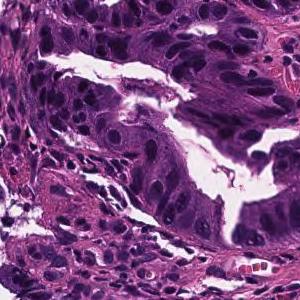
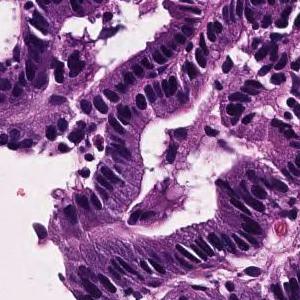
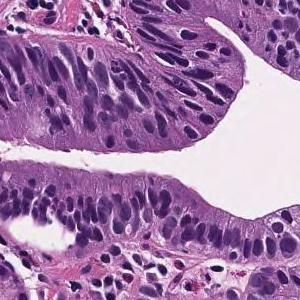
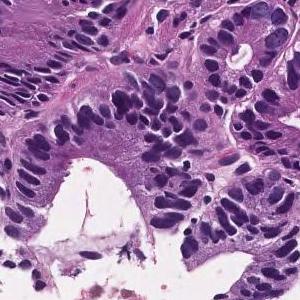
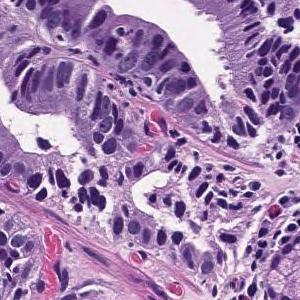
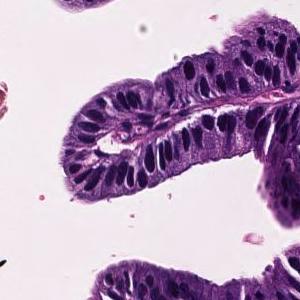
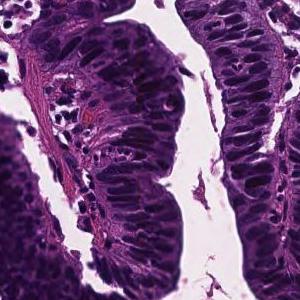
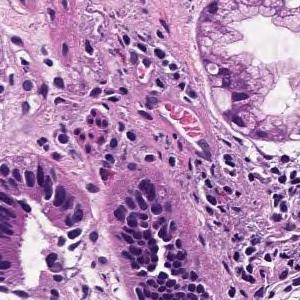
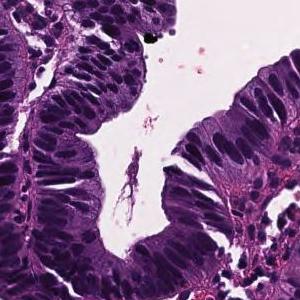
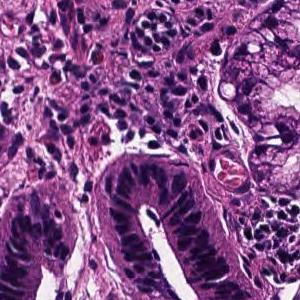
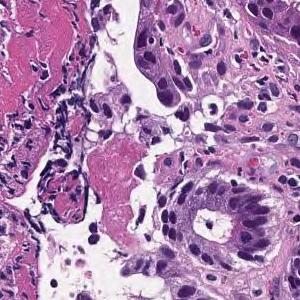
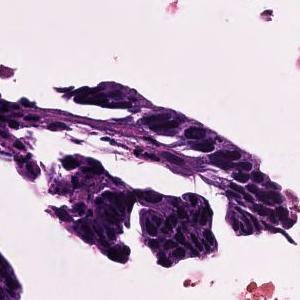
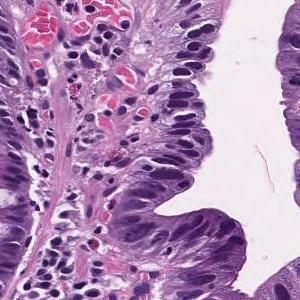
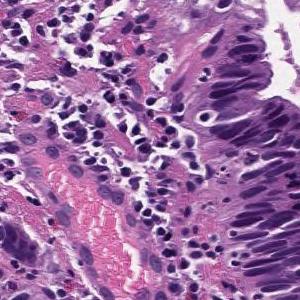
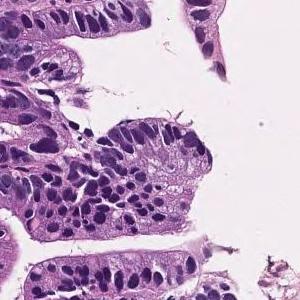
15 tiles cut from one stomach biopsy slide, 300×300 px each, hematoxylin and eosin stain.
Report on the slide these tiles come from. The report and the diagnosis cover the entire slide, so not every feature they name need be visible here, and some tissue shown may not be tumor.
Tumor cells are large, highly columnar, large club-shaped nuclei, and are associated with chromatin aggregation. Papillary adenocarcinoma.
